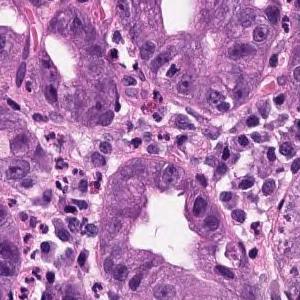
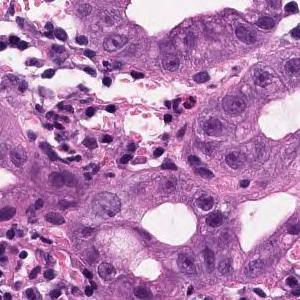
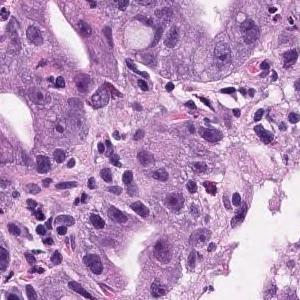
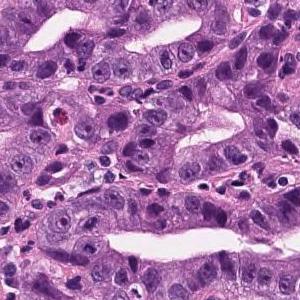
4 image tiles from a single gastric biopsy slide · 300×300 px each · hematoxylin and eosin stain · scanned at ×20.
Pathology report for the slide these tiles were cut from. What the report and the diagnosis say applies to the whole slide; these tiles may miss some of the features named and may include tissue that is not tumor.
In the superficial epithelium, tumor tissue that invades by forming medium-sized to small, irregular ducts is observed. Well to moderately differentiated adenocarcinoma (well differentiated tubular adenocarcinoma, moderately differentiated tubular adenocarcinoma).
Tumor subtype: well to moderately differentiated tubular adenocarcinoma.
